4 tiles cut from one stomach biopsy slide · 300 × 300 pixels each · ×20 · H&E.
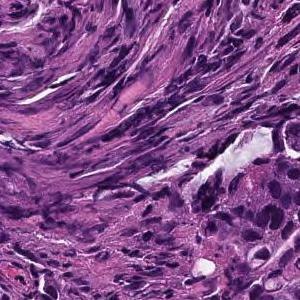
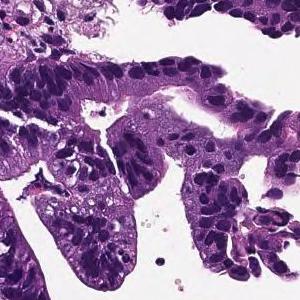
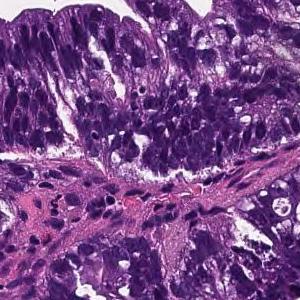
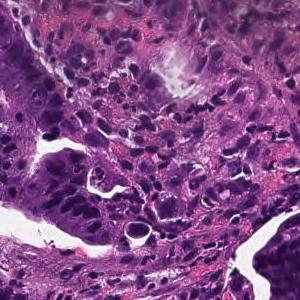
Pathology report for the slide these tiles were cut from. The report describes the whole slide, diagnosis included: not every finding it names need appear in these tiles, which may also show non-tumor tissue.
Tumor cells are large, highly columnar, large club-shaped nuclei, and are associated with chromatin aggregation. Papillary adenocarcinoma.
